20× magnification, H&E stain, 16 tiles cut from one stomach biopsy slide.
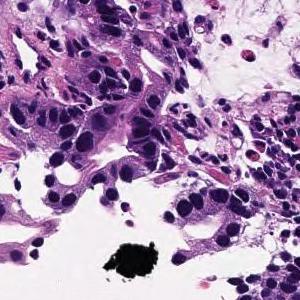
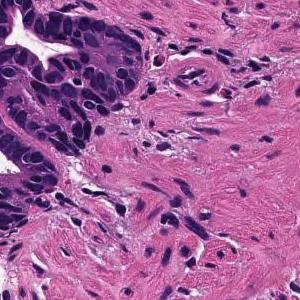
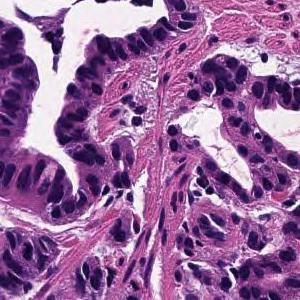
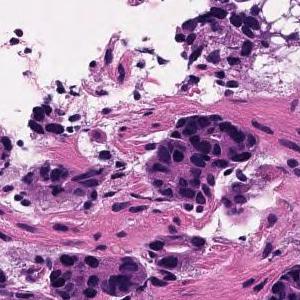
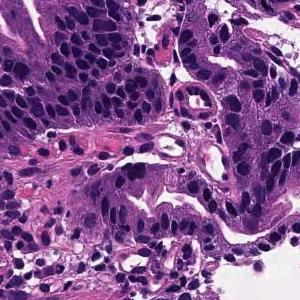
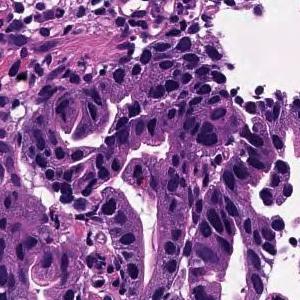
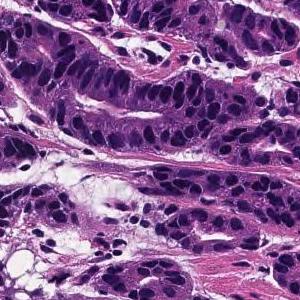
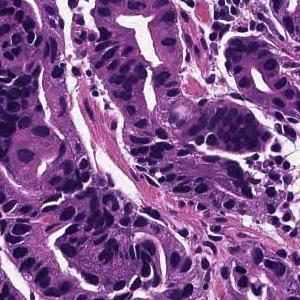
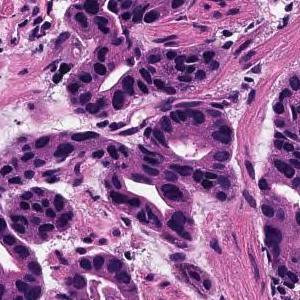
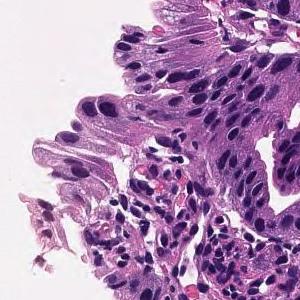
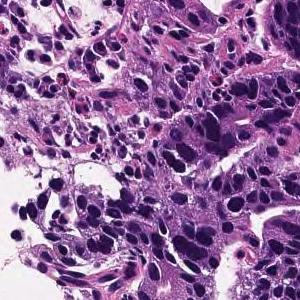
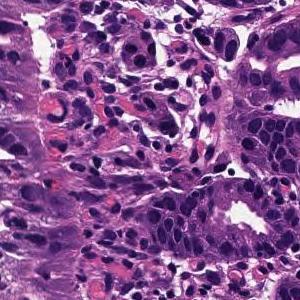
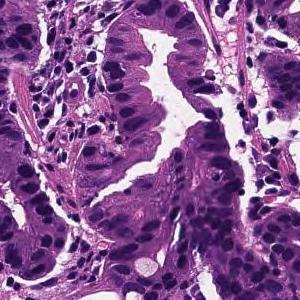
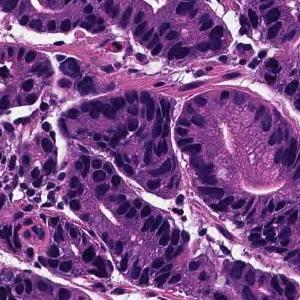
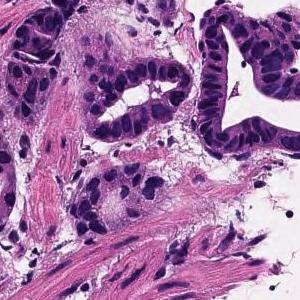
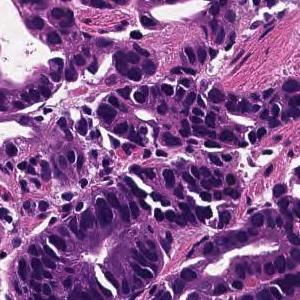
Report on the slide these tiles come from. The findings and the diagnosis refer to the entire slide; these tiles show only part of it, possibly with non-tumor tissue, and may not show every feature named.
From the superficial epithelium to the muscularis mucosae, tumor tissue consisting of medium-sized and irregular glandular ducts infiltrating is observed. Well differentiated tubular adenocarcinoma
